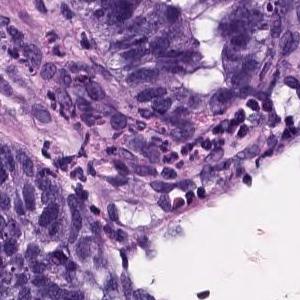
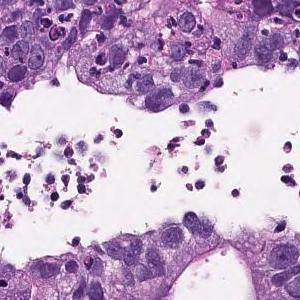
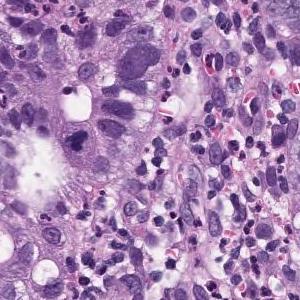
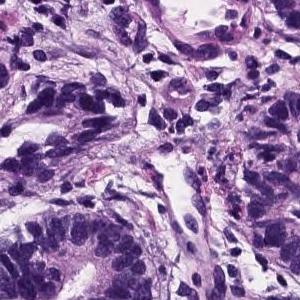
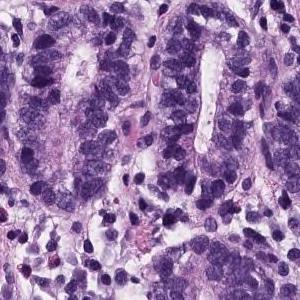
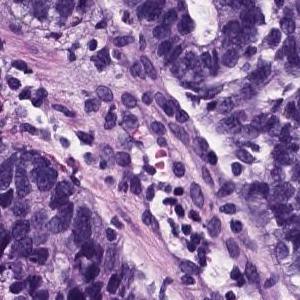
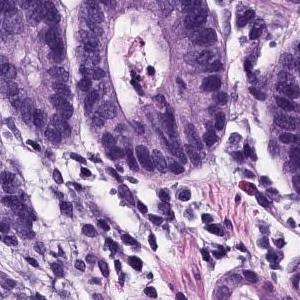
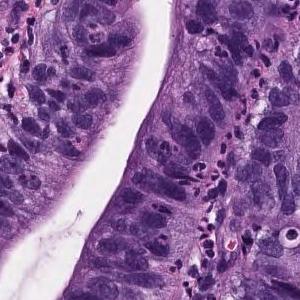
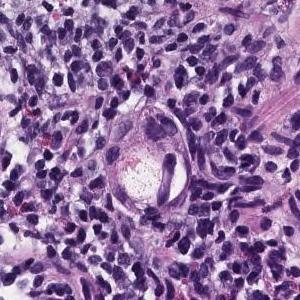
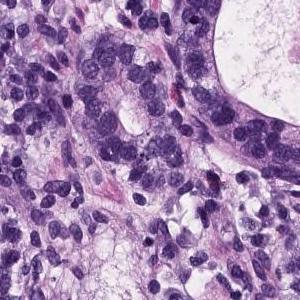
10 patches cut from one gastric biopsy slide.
Pathology report for the biopsy slide these tiles were cut from. What the report and the diagnosis say applies to the whole slide; these tiles may miss some of the features named and may include tissue that is not tumor.
On the superficial epithelium, tumor tissue consisting of large, irregular glandular ducts partially fused and infiltrated is observed. Well to moderately differentiated tubular adenocarcinoma (well differentiated tubular adenocarcinoma, moderately differentiated tubular adenocarcinoma)
The dataset labels this slide well differentiated tubular adenocarcinoma.
